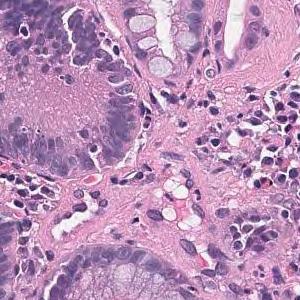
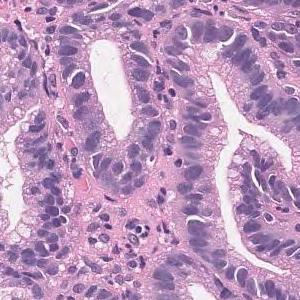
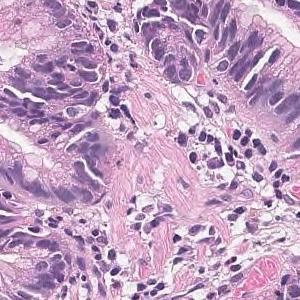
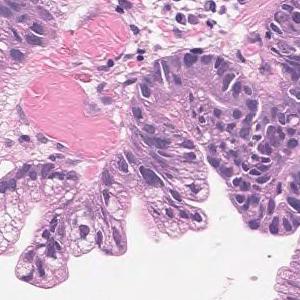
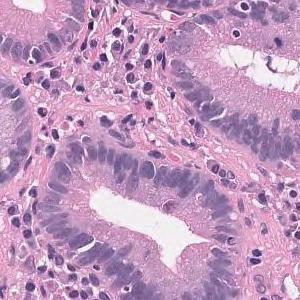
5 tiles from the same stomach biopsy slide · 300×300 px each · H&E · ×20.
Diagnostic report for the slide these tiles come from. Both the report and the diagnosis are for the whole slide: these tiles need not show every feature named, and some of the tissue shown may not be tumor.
Tumor tissue that grows tubular from the surface to the glandular fossa is seen. Adenocarcinoma.
Histologic type: Well differentiated tubular adenocarcinoma.
